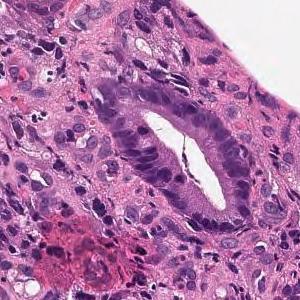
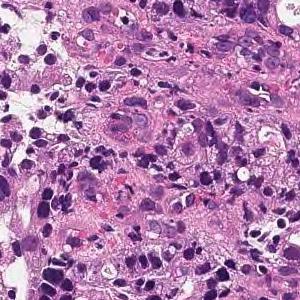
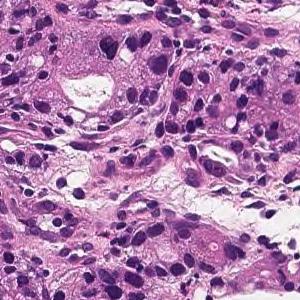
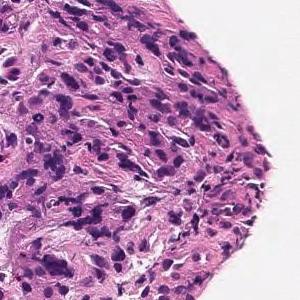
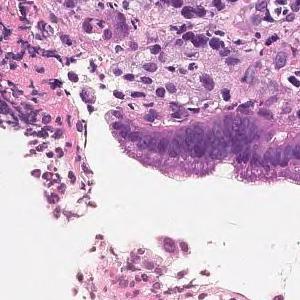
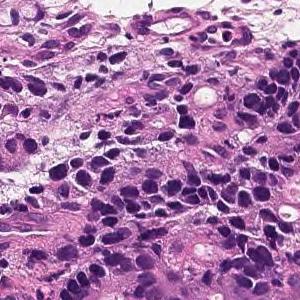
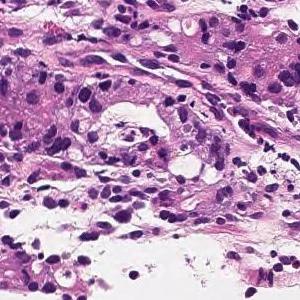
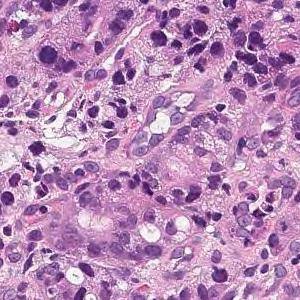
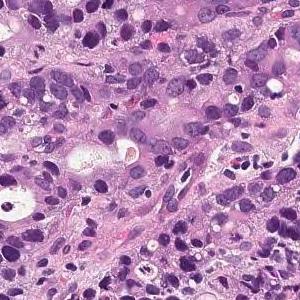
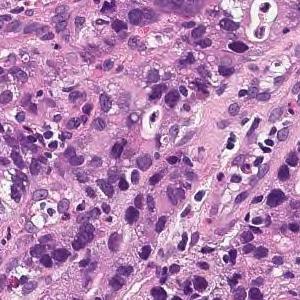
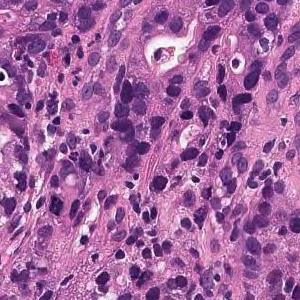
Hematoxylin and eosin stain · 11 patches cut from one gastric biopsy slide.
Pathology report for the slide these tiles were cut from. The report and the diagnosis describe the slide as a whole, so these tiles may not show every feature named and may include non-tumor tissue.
In the superficial epithelium, medium to small irregular gland ducts are formed, and in some cases, the ducts are fused to show solid alveolar lesions and infiltrating tumor tissue is observed. moderately differentiated tubular adenocarcinoma or poorly differentiated adenocarcinoma, solid-type (poorly differentiated adenocarcinoma, solid type)
Dataset label: poorly differentiated adenocarcinoma, solid type (Japanese Classification of Gastric Carcinoma). The WHO 2019 equivalent is tubular adenocarcinoma, poorly differentiated.
